13 image tiles from a single gastric biopsy slide; scanned at ×20; H&E.
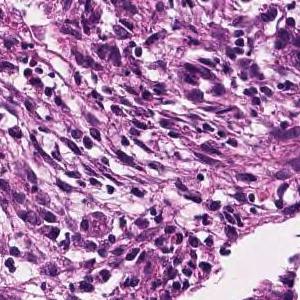
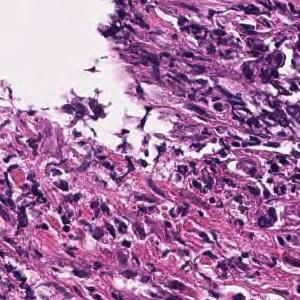
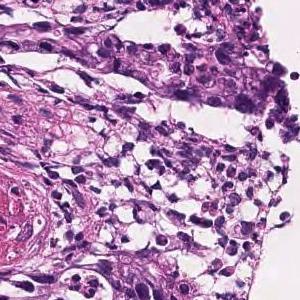
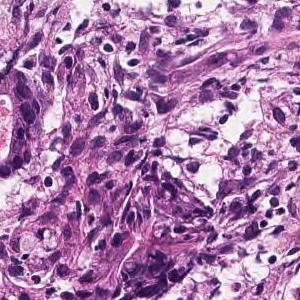
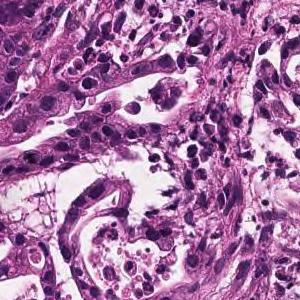
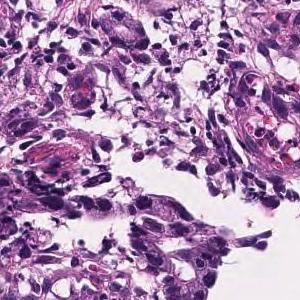
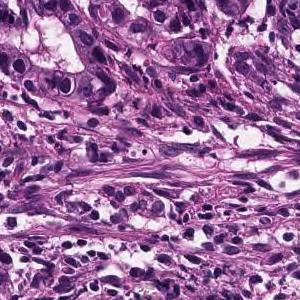
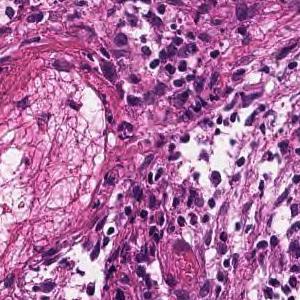
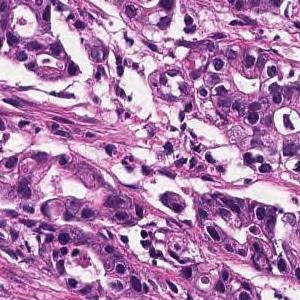
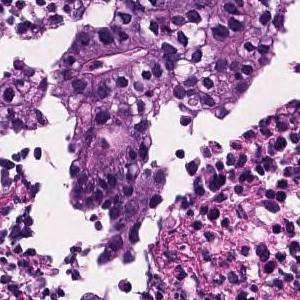
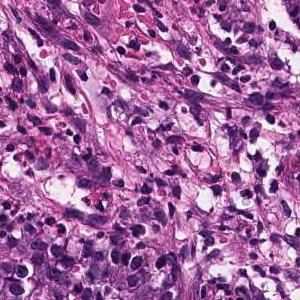
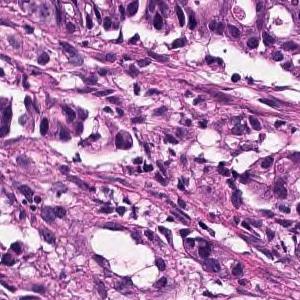
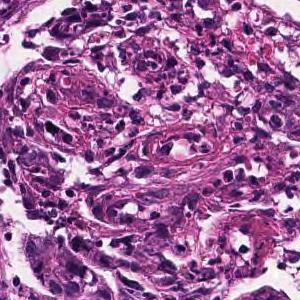
The pathologist's report on the biopsy slide these tiles were taken from. Both the report and the diagnosis are for the whole slide: these tiles need not show every feature named, and some of the tissue shown may not be tumor.
In the superficial epithelium, medium to small, irregular gland ducts are formed, and in some cases, the gland ducts are fused to show solid alveolar lesions and infiltrating tumor tissue is observed. Moderately to poorly differentiated adenocarcinoma.
